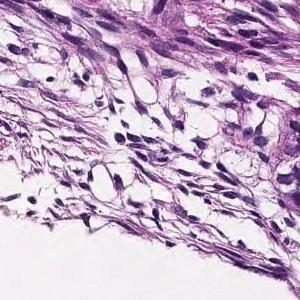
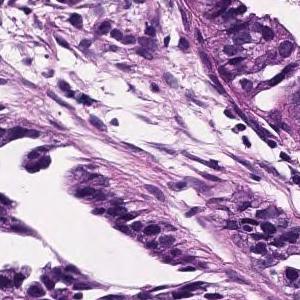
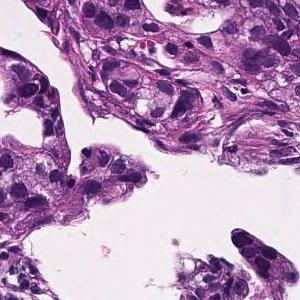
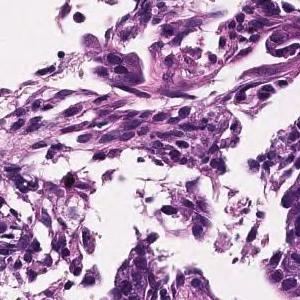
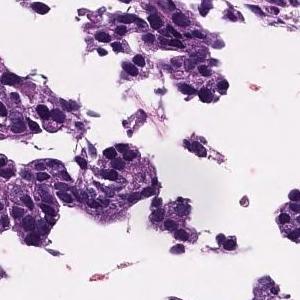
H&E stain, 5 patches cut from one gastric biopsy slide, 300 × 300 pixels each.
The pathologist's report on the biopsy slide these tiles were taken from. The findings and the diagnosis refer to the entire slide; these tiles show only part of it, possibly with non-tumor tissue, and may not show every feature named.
In the lamina propria, tumor tissue that invades by forming medium-sized to small, irregular glandular ducts is observed. moderately differentiated tubular adenocarcinoma
